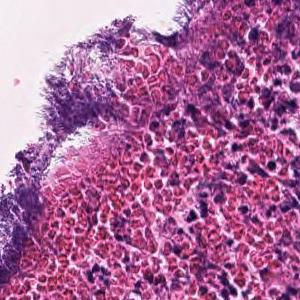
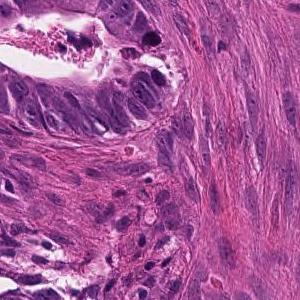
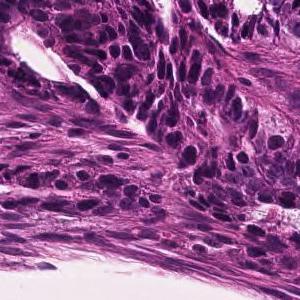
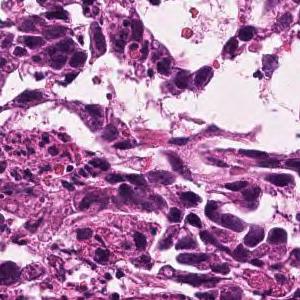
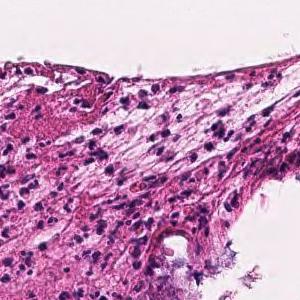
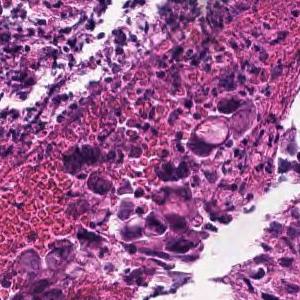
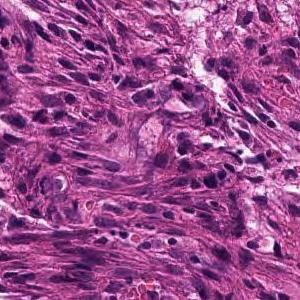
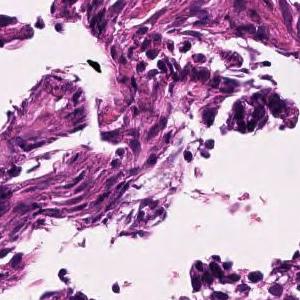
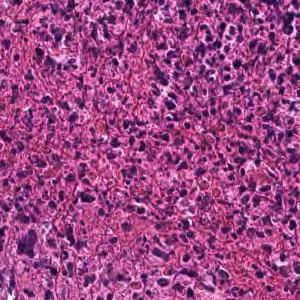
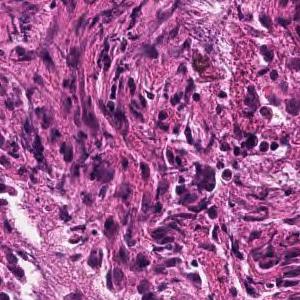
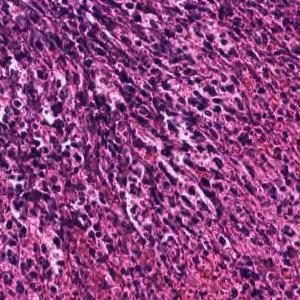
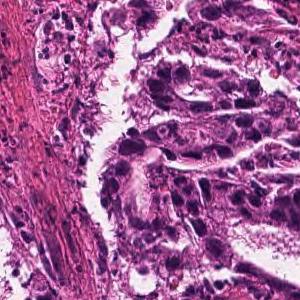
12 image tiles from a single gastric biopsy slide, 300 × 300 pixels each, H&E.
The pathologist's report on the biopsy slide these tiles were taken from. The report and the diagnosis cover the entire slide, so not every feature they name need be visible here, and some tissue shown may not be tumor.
In the superficial epithelium, tumor tissue that invades by forming medium-sized to small, irregular ducts is observed. moderately differentiated tubular adenocarcinoma.
